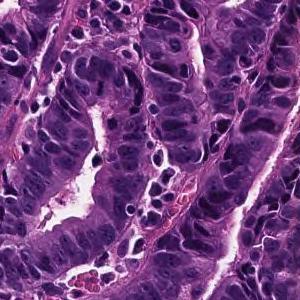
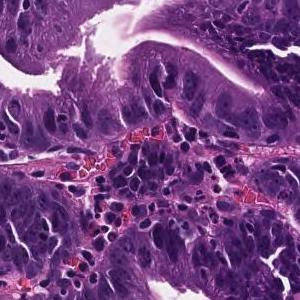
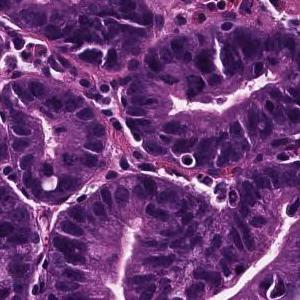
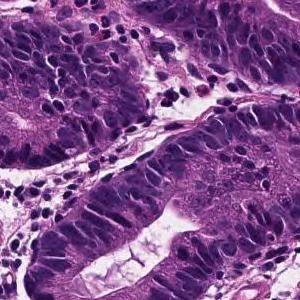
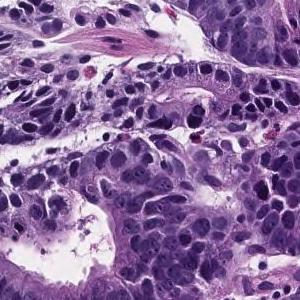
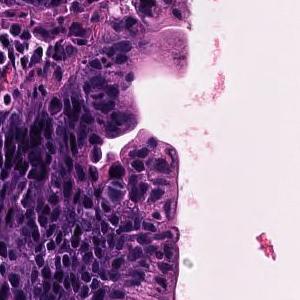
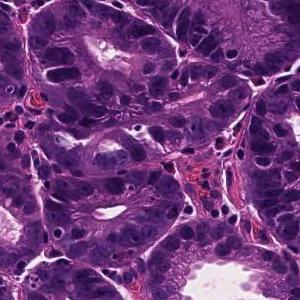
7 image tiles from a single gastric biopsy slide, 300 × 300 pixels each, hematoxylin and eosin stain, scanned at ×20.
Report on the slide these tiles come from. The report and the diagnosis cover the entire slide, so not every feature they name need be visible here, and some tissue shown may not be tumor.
On the superficial epithelium, tumor tissue consisting of growth of medium-sized to large-sized, round or irregular glandular ducts is observed. Well differentiated tubular adenocarcinoma
